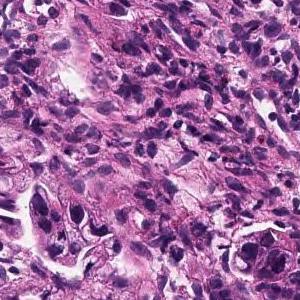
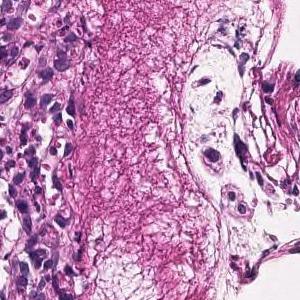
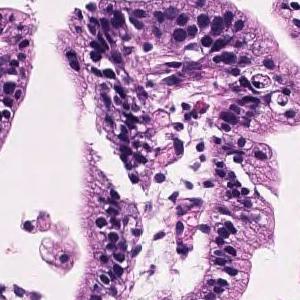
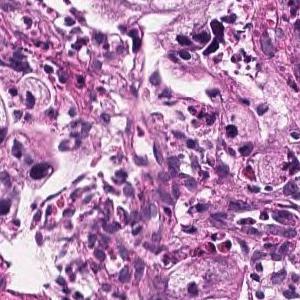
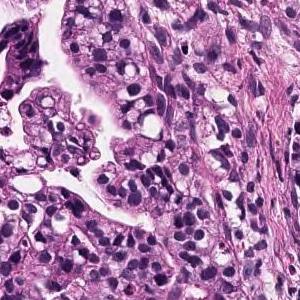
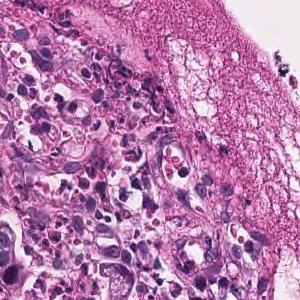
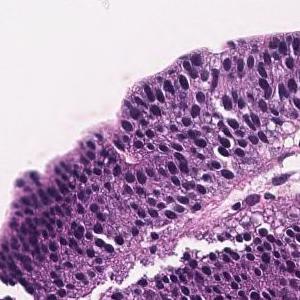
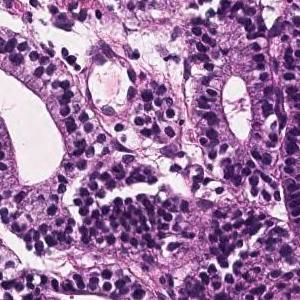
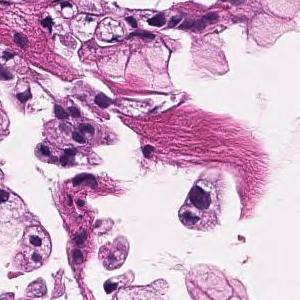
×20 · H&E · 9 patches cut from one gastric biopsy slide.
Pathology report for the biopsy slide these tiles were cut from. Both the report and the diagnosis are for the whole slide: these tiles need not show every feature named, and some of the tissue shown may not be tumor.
Tumor tissue consisting of large papillary structures or irregular glandular ducts partially fused and infiltrated is observed in the superficial epithelium. Well to moderately differentiated tubular adenocarcinoma.
Labeled in the dataset as moderately differentiated tubular adenocarcinoma.
